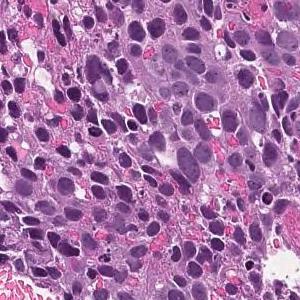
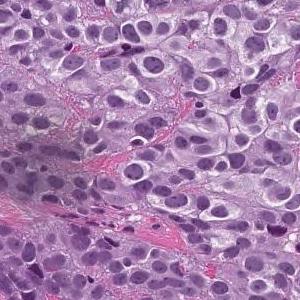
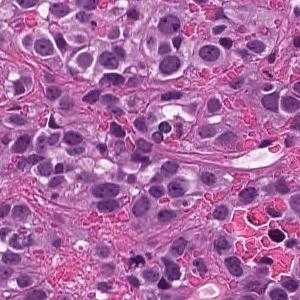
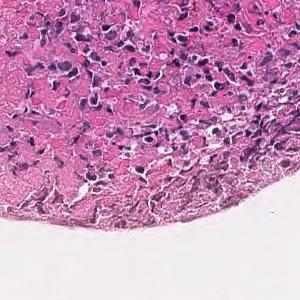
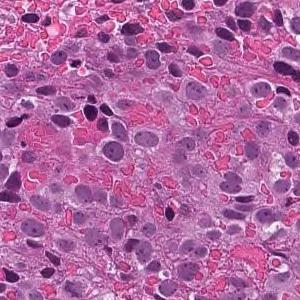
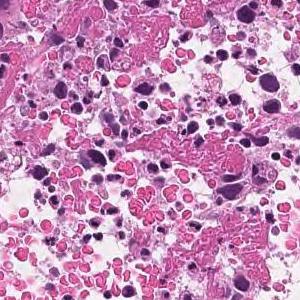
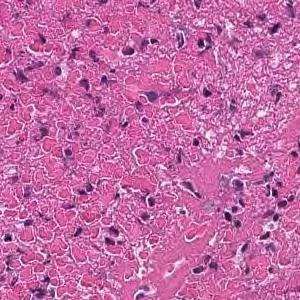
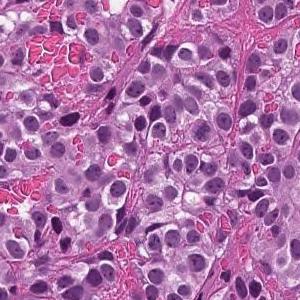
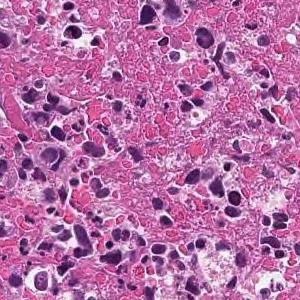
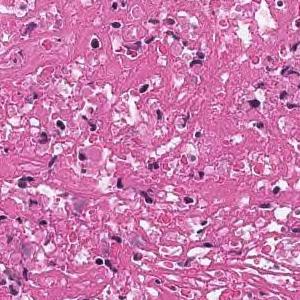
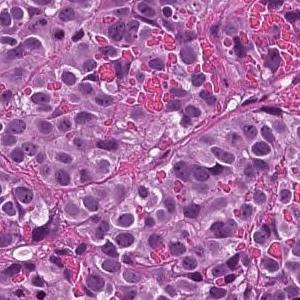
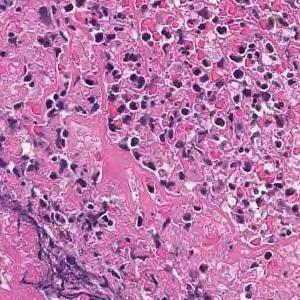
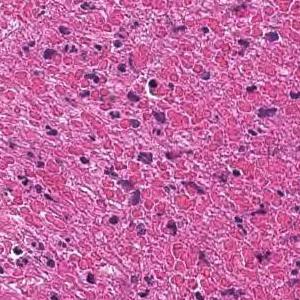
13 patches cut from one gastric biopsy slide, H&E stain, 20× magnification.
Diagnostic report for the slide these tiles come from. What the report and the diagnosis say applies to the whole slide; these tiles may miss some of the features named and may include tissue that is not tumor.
The superficial epithelium shows a large sheet-like shape, and some tumor tissue infiltrates with small irregular ducts. Poorly differentiated adenocarcinoma, solid-type
Histological subtype: Poorly differentiated adenocarcinoma, solid type (Japanese Classification of Gastric Carcinoma). The WHO 2019 equivalent is tubular adenocarcinoma, poorly differentiated.
